Hematoxylin and eosin stain, 20× magnification, 10 patches cut from one gastric biopsy slide, 300×300 px each.
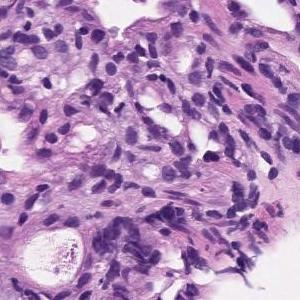
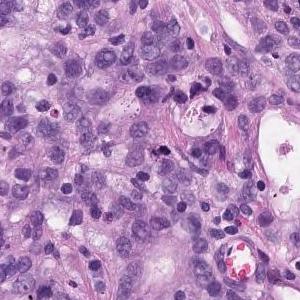
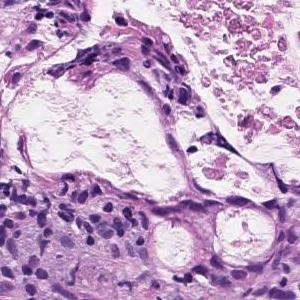
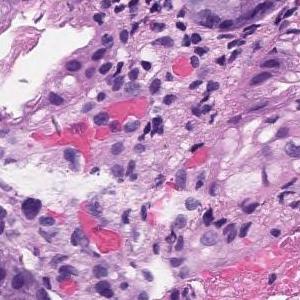
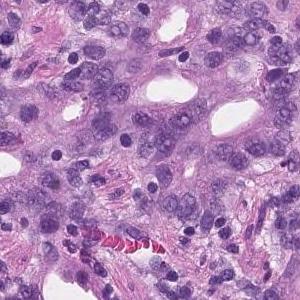
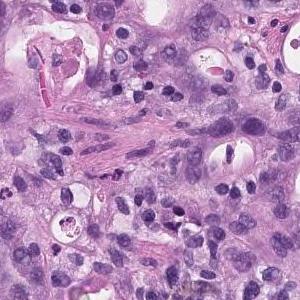
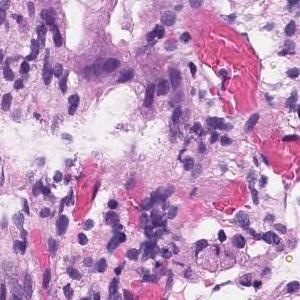
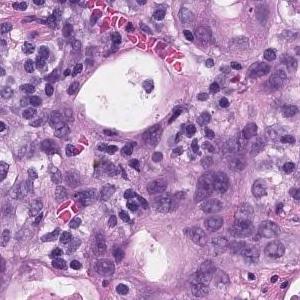
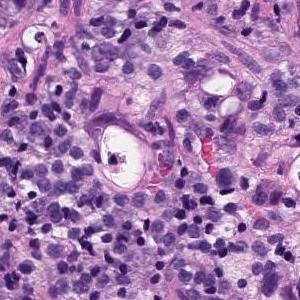
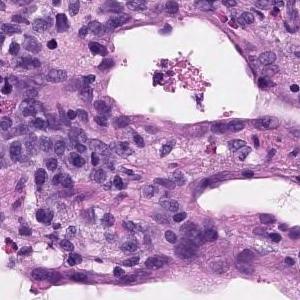
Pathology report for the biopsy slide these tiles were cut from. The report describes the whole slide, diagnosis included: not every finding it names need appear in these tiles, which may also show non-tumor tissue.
In the superficial epithelium, tumor tissue that invades by forming medium-sized to small, irregular ducts is observed. Moderately differentiated adenocarcinoma.
Subtype: Moderately differentiated tubular adenocarcinoma.
